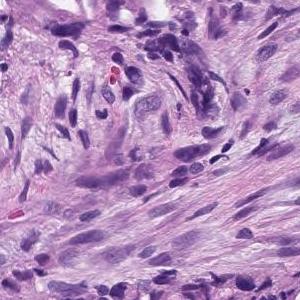
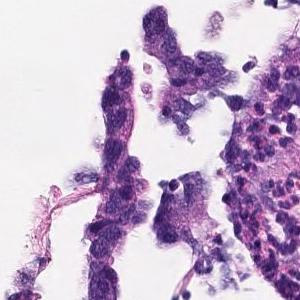
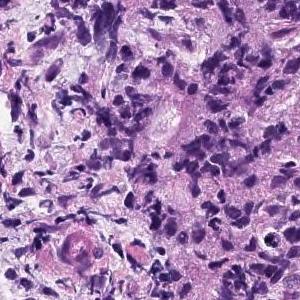
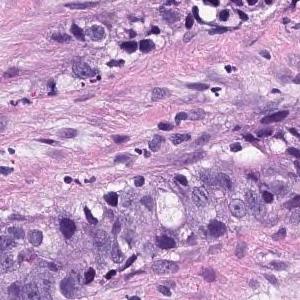
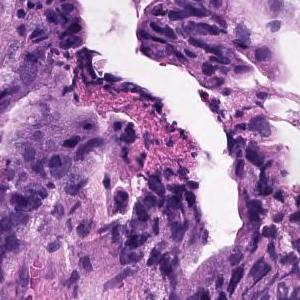
5 tiles from the same stomach biopsy slide; 300 × 300 pixels each; hematoxylin and eosin stain; ×20.
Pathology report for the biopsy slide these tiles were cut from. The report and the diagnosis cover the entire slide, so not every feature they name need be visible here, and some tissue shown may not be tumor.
Medium to small, irregular glandular ducts are formed in the superficial epithelium, and in some cases, the glandular ducts are fused to show solid alveolar lesions and infiltrating tumor tissue is observed. Moderately to poorly differentiated adenocarcinoma.
